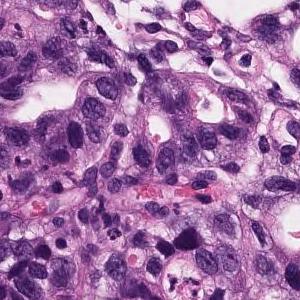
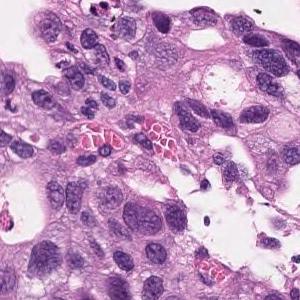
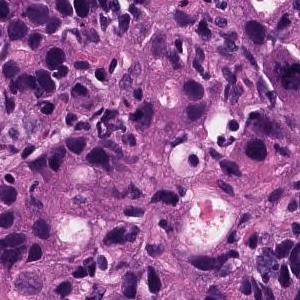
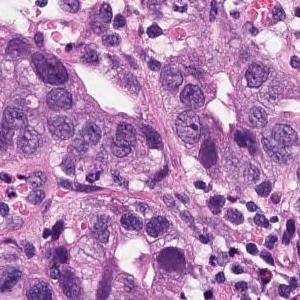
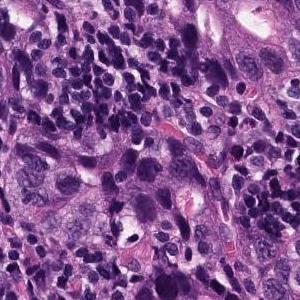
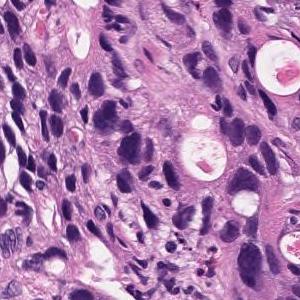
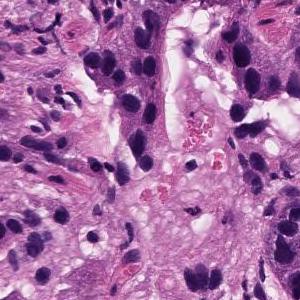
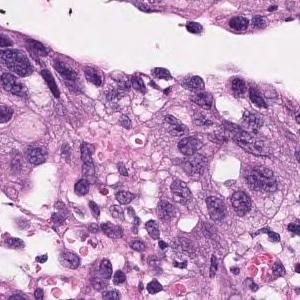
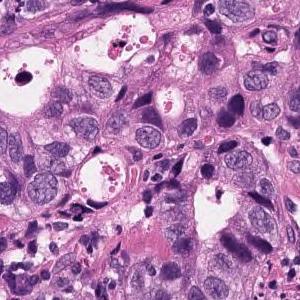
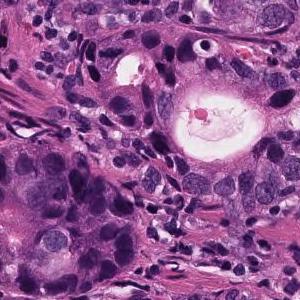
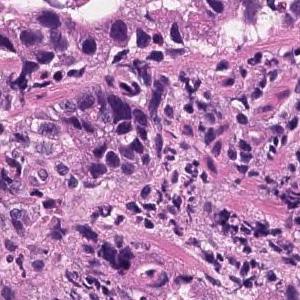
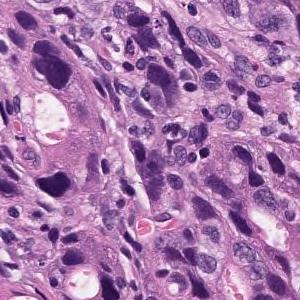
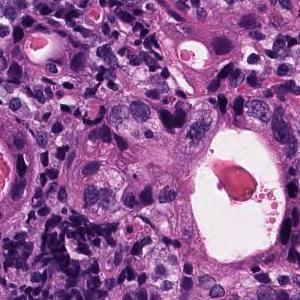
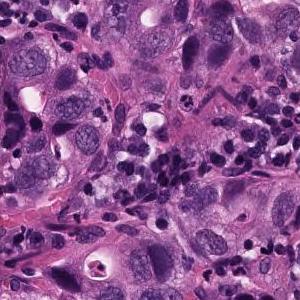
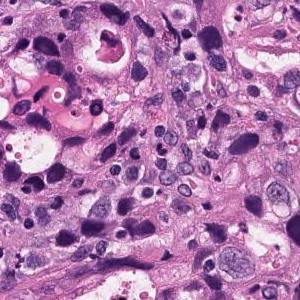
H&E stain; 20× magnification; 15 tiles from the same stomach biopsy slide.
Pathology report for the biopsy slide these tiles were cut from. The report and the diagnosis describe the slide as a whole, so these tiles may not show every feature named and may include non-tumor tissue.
In the superficial epithelium, tumor tissue that invades by forming medium-sized to small, irregular ducts is observed. Moderately differentiated adenocarcinoma.
Subtype: Moderately differentiated tubular adenocarcinoma.
